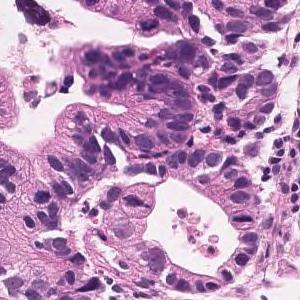
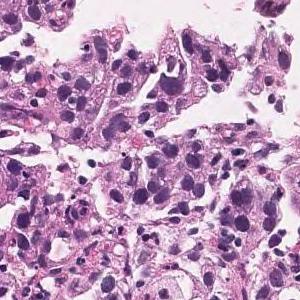
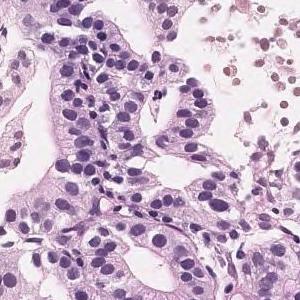
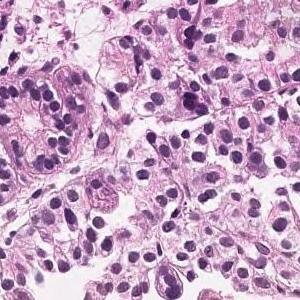
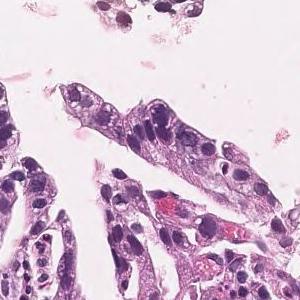
Scanned at ×20; H&E; 5 image tiles from a single gastric biopsy slide; each 300 × 300 pixels.
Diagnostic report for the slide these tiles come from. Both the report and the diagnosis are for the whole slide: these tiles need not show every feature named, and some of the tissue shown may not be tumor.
In the superficial epithelium, tumor tissue that invades by forming medium-sized to small, irregular ducts is observed. moderately differentiated tubular adenocarcinoma.
